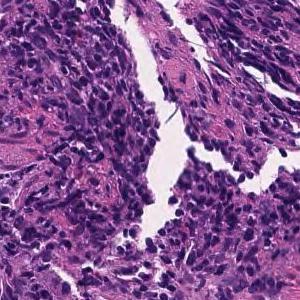
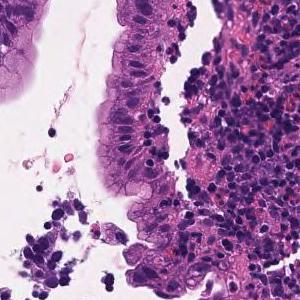
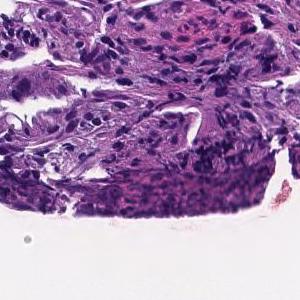
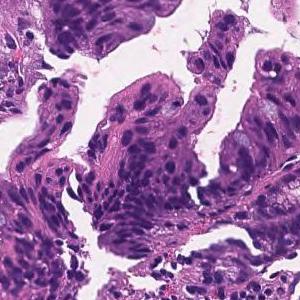
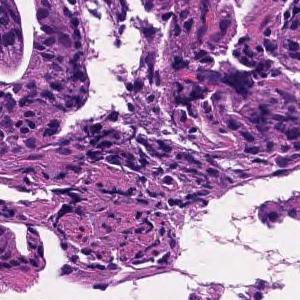
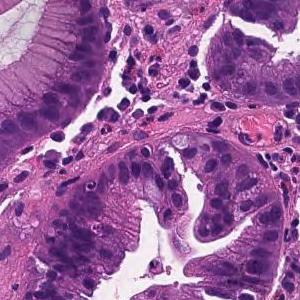
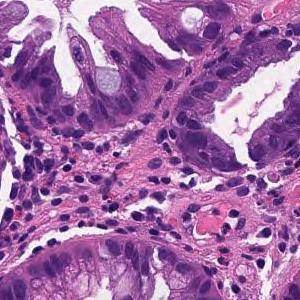
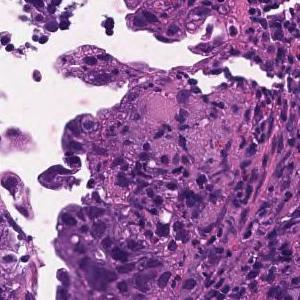
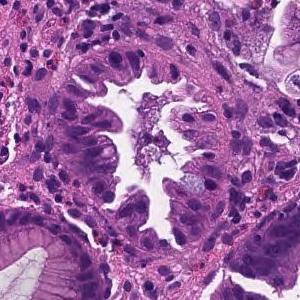
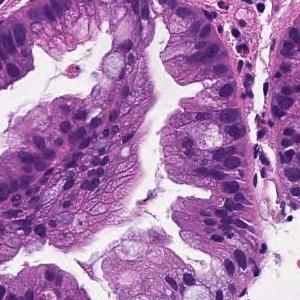
H&E stain; ×20; 10 patches cut from one gastric biopsy slide; 300×300 px each.
Diagnostic report for the slide these tiles come from. The report and the diagnosis describe the slide as a whole, so these tiles may not show every feature named and may include non-tumor tissue.
On the superficial epithelium, tumor tissue that infiltrates by forming medium-sized papillary or small irregular ducts is observed. Papillary adenocarcinoma
